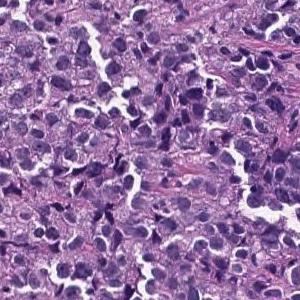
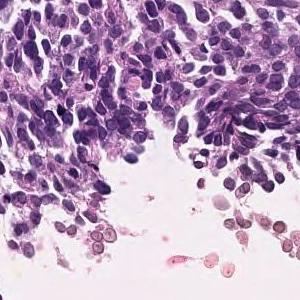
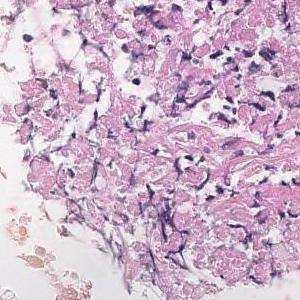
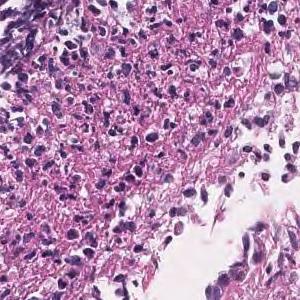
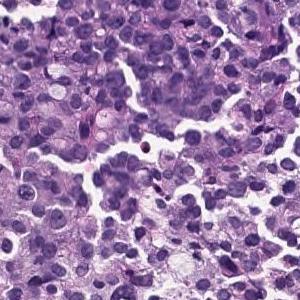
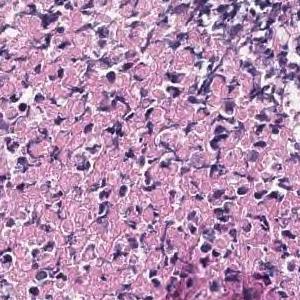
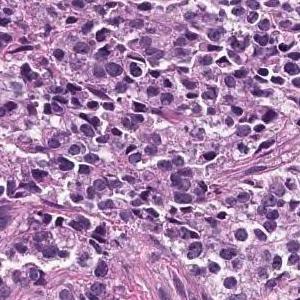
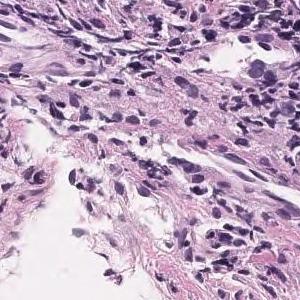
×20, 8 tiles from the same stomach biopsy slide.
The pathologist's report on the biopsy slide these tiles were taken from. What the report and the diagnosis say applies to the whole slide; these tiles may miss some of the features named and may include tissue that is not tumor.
The superficial epithelium shows a large sheet-like shape, and some tumor tissue infiltrates with small irregular ducts. Poorly differentiated adenocarcinoma, solid-type
Tumor subtype: poorly differentiated adenocarcinoma, solid type. This name comes from the Japanese Classification of Gastric Carcinoma; the WHO 2019 classification calls it tubular adenocarcinoma, poorly differentiated.
